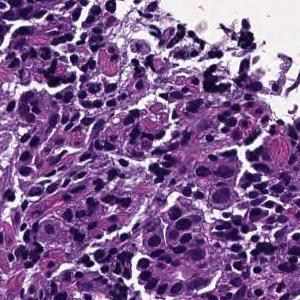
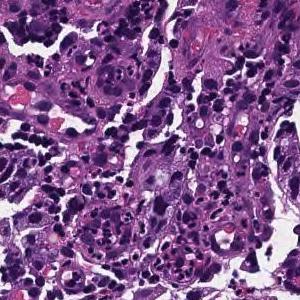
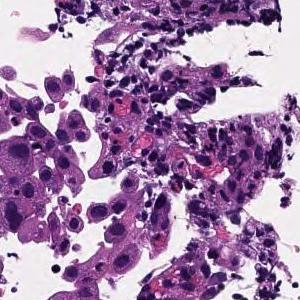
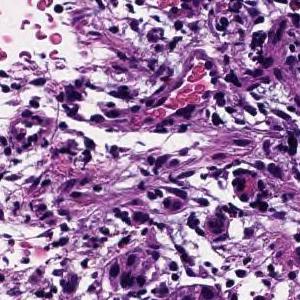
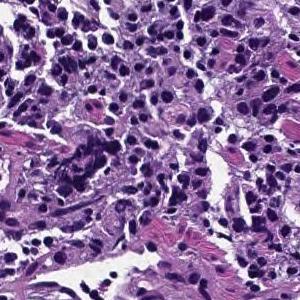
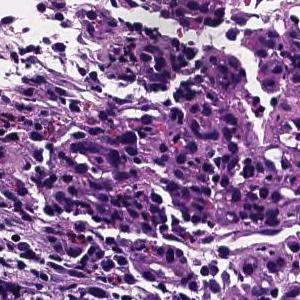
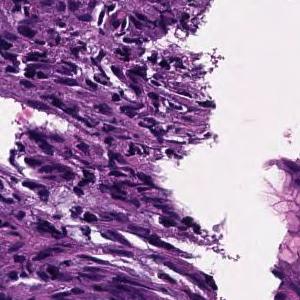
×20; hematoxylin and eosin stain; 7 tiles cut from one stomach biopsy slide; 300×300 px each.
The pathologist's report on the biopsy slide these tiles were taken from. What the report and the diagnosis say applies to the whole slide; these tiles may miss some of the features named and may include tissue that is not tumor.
Tumor tissue consisting of cord-like or small, irregular glandular ducts fused and infiltrated is observed in the superficial epithelium. Poorly differentiated adenocarcinoma, non-solid type
The non-solid type named here is a Japanese Classification of Gastric Carcinoma category.
